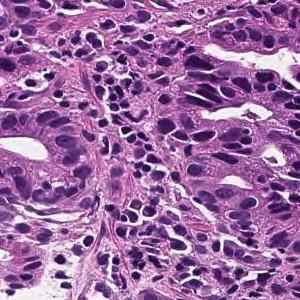
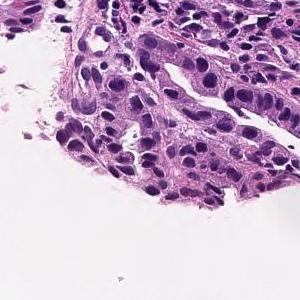
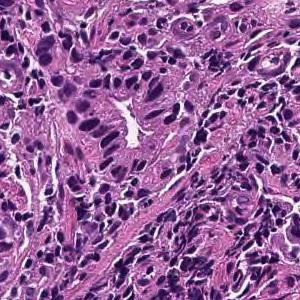
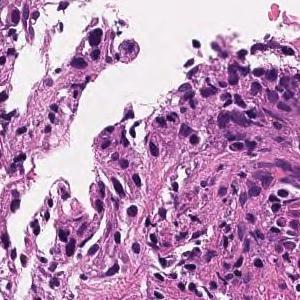
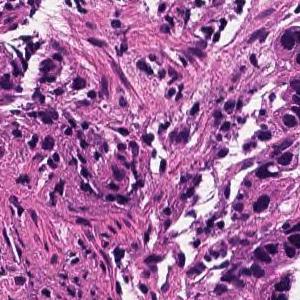
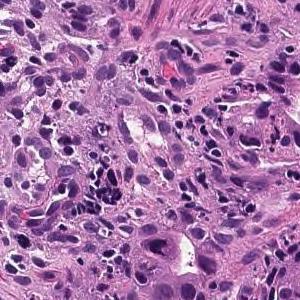
6 image tiles from a single gastric biopsy slide; H&E.
Diagnostic report for the slide these tiles come from. The report and the diagnosis describe the slide as a whole, so these tiles may not show every feature named and may include non-tumor tissue.
On the superficial epithelium, tumor tissue is found in which medium-sized irregular gland ducts fuse with each other and infiltrate. moderately differentiated tubular adenocarcinoma or Poorly differentiated adenocarcinoma, non-solid type
Tumor subtype: moderately to poorly differentiated adenocarcinoma.
The term "non-solid type" comes from the Japanese Classification of Gastric Carcinoma.
